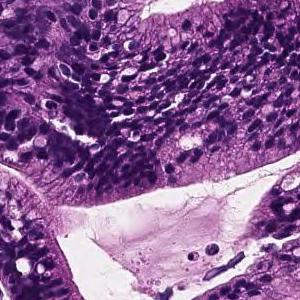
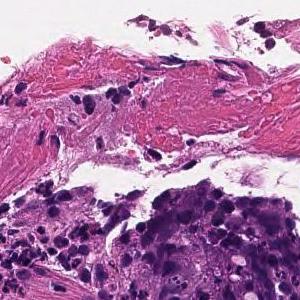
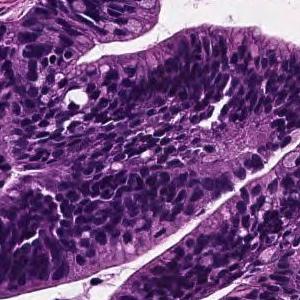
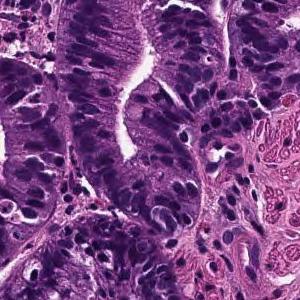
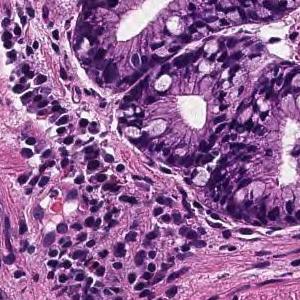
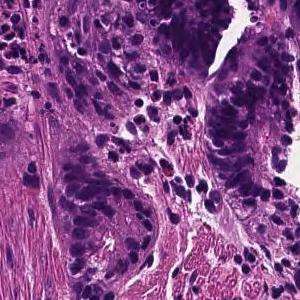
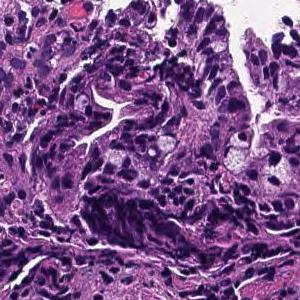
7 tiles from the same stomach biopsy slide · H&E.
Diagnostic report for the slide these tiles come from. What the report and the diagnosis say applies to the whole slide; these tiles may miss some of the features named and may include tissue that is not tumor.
From the superficial epithelium to the muscularis mucosae, tumor tissue consisting of medium-sized and irregular glandular ducts infiltrating is observed. Well differentiated tubular adenocarcinoma
